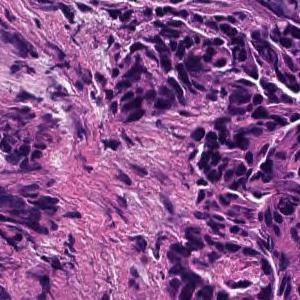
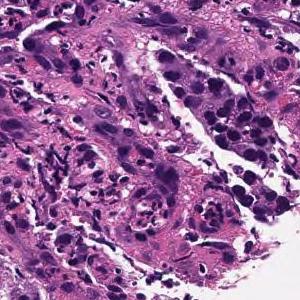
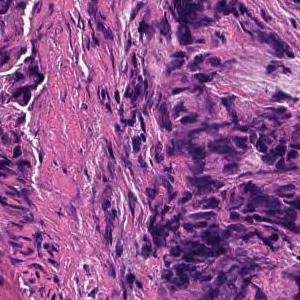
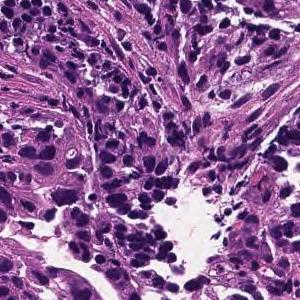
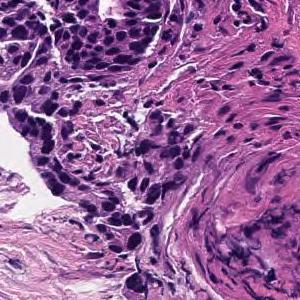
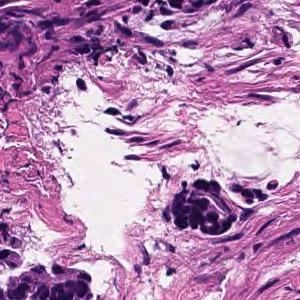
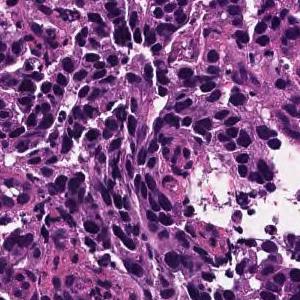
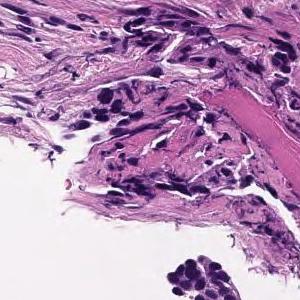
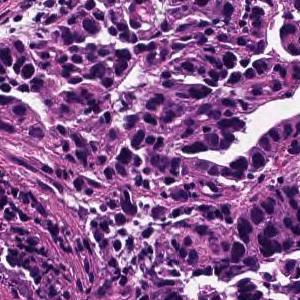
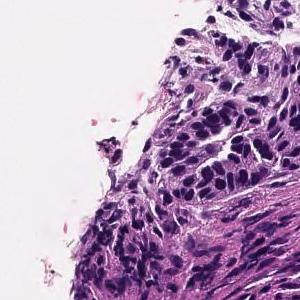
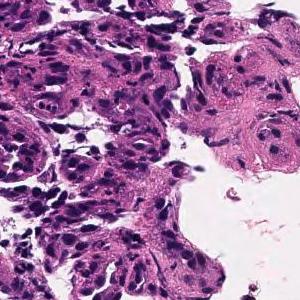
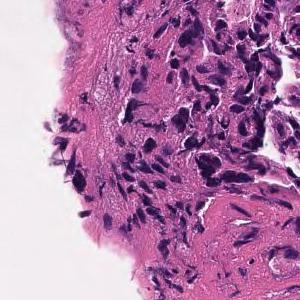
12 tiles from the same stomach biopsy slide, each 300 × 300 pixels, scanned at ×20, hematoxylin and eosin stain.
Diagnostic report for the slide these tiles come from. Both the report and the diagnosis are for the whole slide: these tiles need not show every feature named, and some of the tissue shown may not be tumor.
In the superficial epithelium, tumor tissue that invades by forming medium-sized to small, irregular ducts is observed. moderately differentiated tubular adenocarcinoma.
